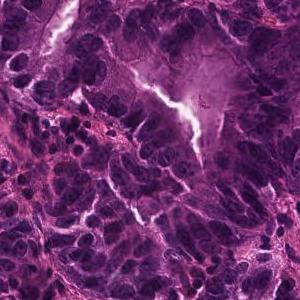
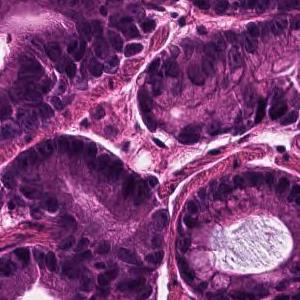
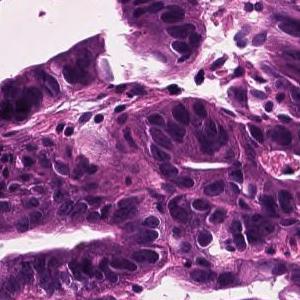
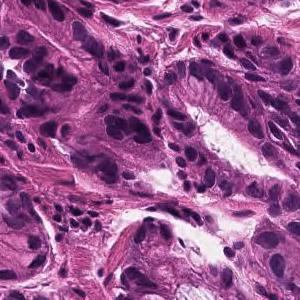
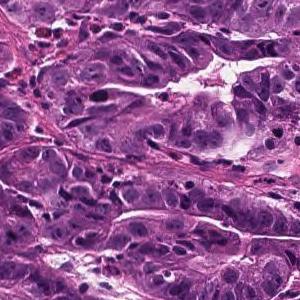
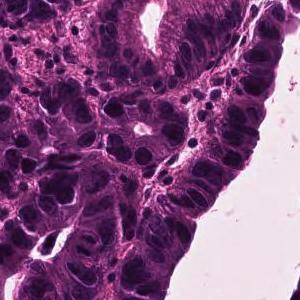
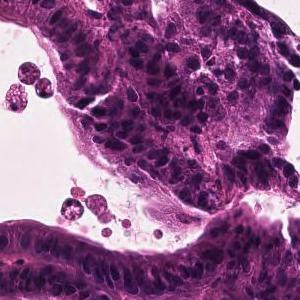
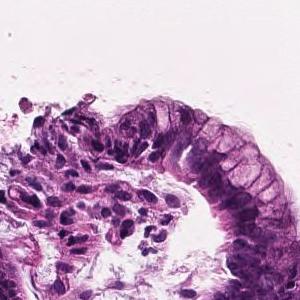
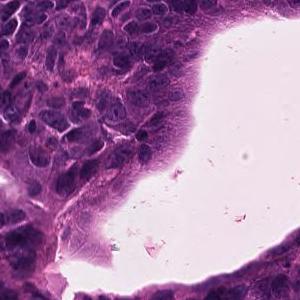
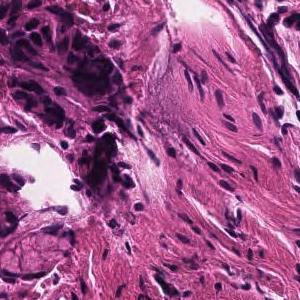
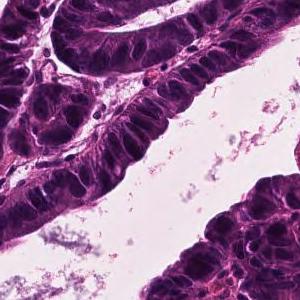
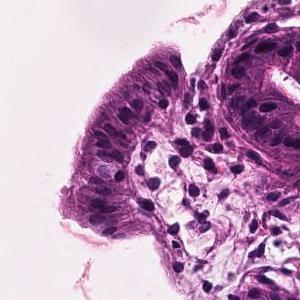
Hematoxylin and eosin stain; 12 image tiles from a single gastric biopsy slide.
Report on the slide these tiles come from. The report and the diagnosis describe the slide as a whole, so these tiles may not show every feature named and may include non-tumor tissue.
In the superficial epithelium, tumor tissue that invades by forming medium-sized to small, irregular ducts is observed. Well differentiated tubular adenocarcinoma.
